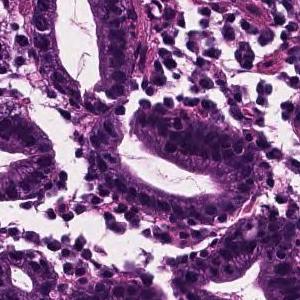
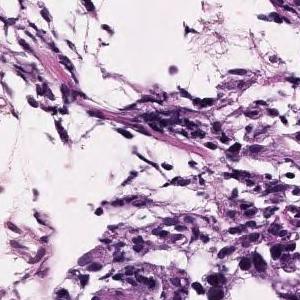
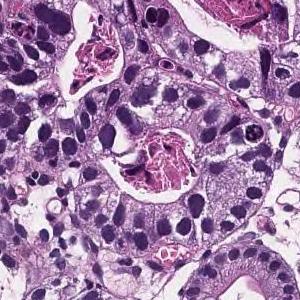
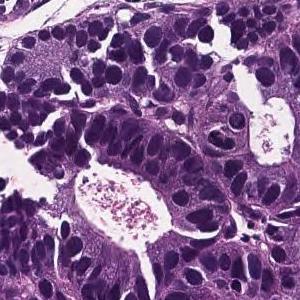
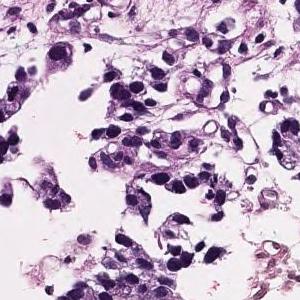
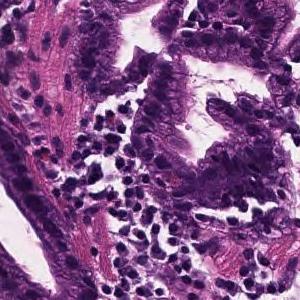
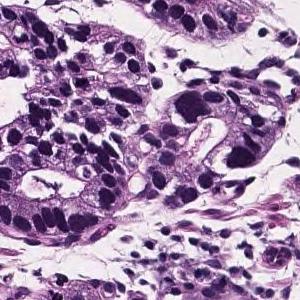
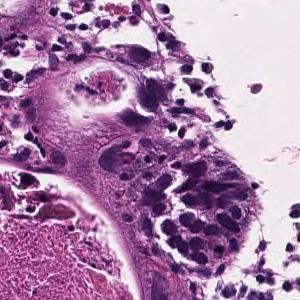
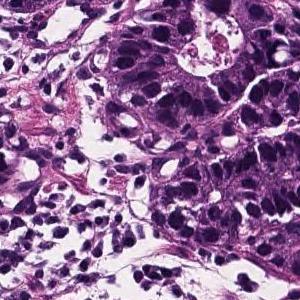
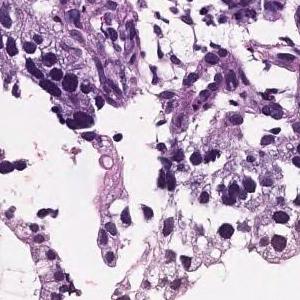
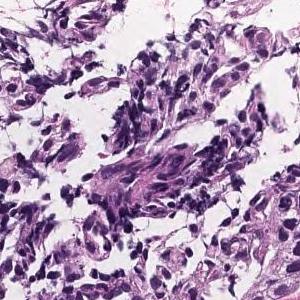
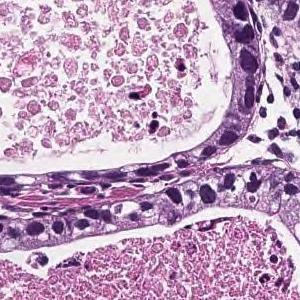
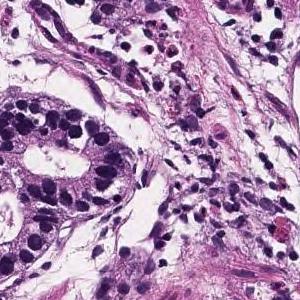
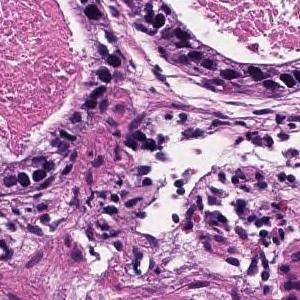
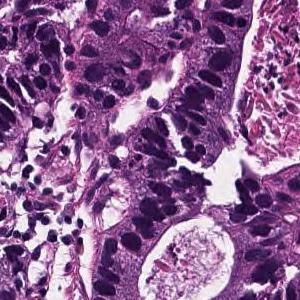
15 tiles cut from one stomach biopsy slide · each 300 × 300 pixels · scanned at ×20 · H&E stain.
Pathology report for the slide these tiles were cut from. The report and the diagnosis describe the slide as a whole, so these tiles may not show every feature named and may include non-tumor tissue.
In the superficial epithelium, tumor tissue that invades by forming medium-sized to small, irregular ducts is observed. Well differentiated tubular adenocarcinoma.
